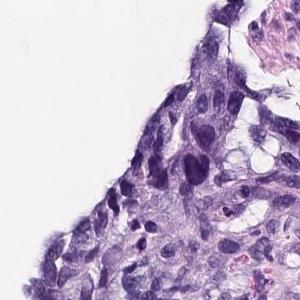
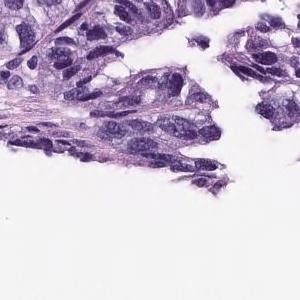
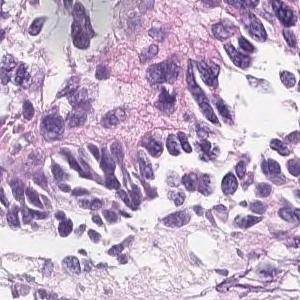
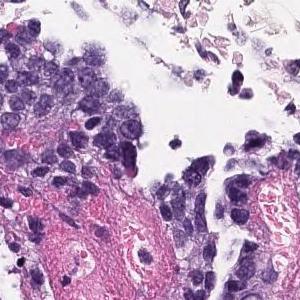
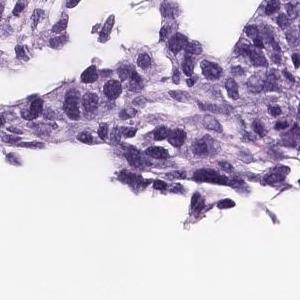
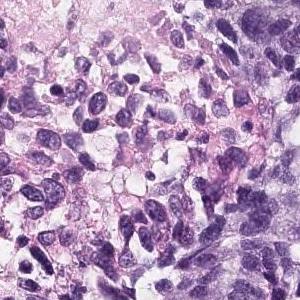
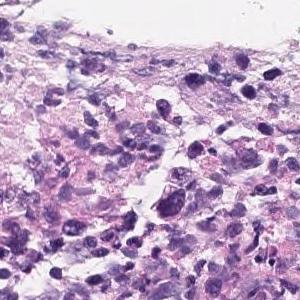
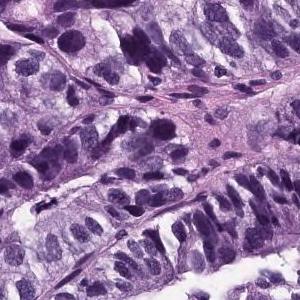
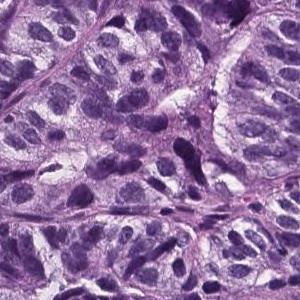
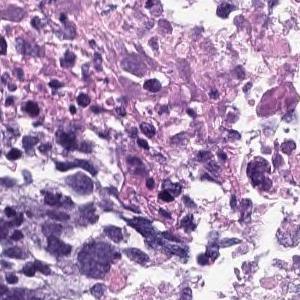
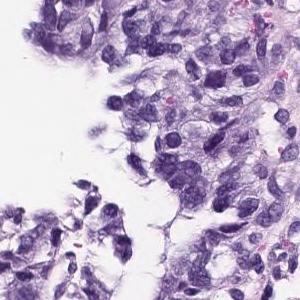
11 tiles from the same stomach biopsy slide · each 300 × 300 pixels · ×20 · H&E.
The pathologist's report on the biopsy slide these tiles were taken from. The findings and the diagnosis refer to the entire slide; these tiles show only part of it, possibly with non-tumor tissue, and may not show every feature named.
The superficial epithelium shows a large sheet-like shape, and some tumor tissue infiltrates with small irregular ducts. Poorly differentiated adenocarcinoma, solid-type
Subtype: Poorly differentiated adenocarcinoma, solid type. This name comes from the Japanese Classification of Gastric Carcinoma; the WHO 2019 classification calls it tubular adenocarcinoma, poorly differentiated.
